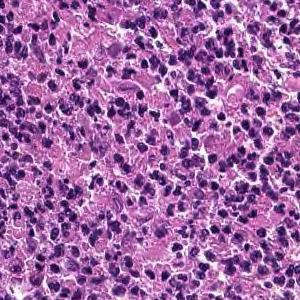
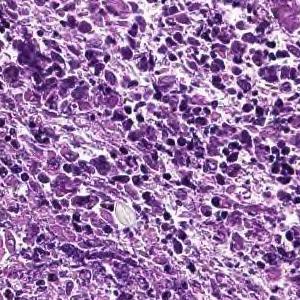
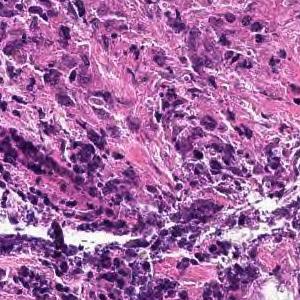
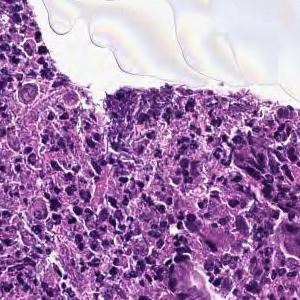
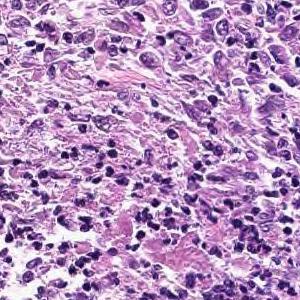
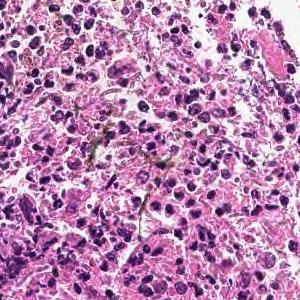
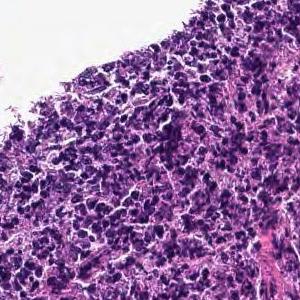
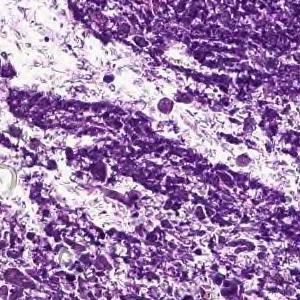
H&E · ×20 · 8 patches cut from one gastric biopsy slide · each 300 × 300 pixels.
Report on the slide these tiles come from. Both the report and the diagnosis are for the whole slide: these tiles need not show every feature named, and some of the tissue shown may not be tumor.
Cancers with polygonal nuclei do not show glandular formation and are densely, in part, cord-like and proliferate. Poorly differentiated adenocarcinoma
Histological subtype: Poorly differentiated adenocarcinoma, non-solid type.
The non-solid type named here is a Japanese Classification of Gastric Carcinoma category.
